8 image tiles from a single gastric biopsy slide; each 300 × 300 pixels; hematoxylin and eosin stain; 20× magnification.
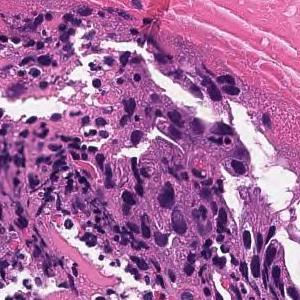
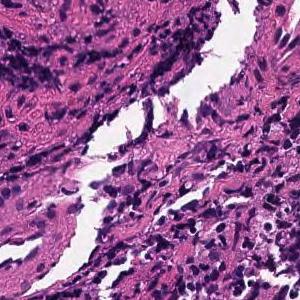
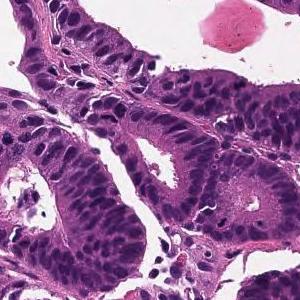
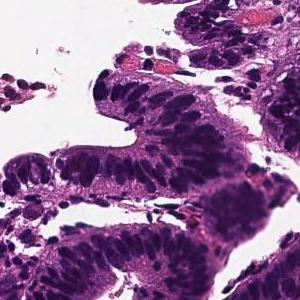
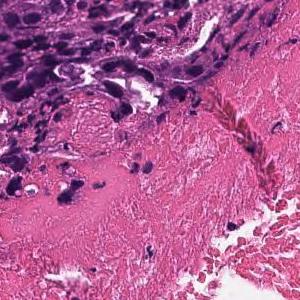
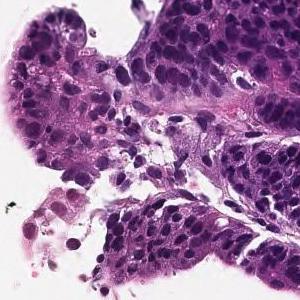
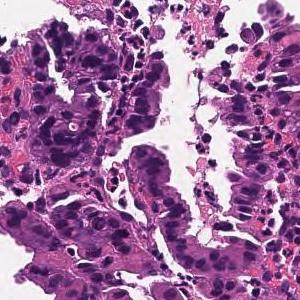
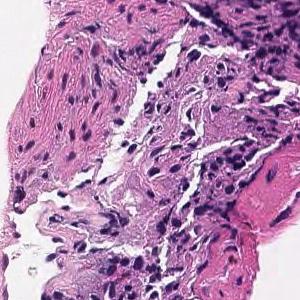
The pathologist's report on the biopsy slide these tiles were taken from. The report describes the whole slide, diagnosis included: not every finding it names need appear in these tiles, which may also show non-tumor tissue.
Tumor cells are large, highly columnar, large club-shaped nuclei, and are associated with chromatin aggregation. Papillary adenocarcinoma.
